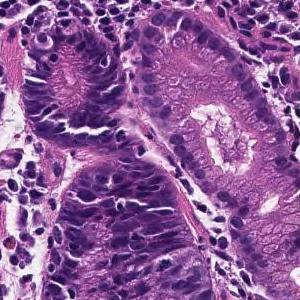
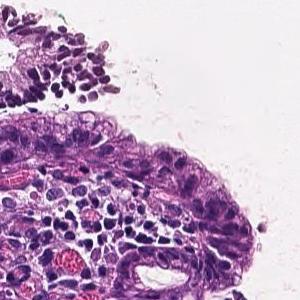
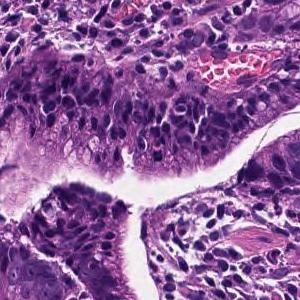
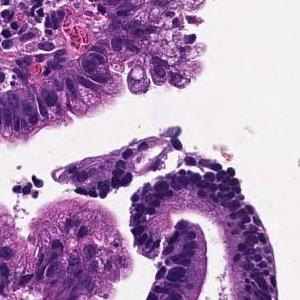
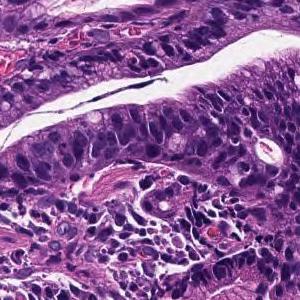
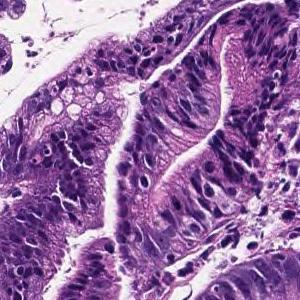
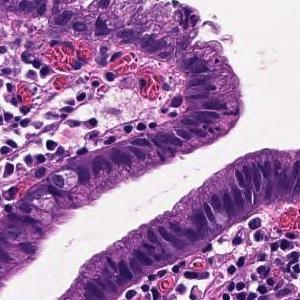
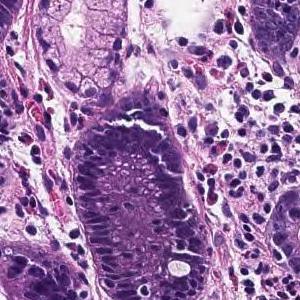
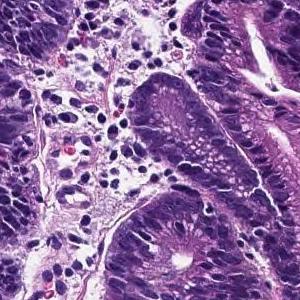
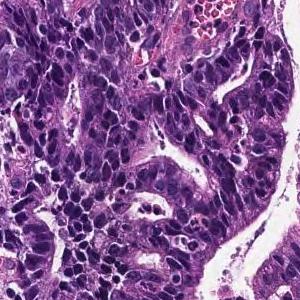
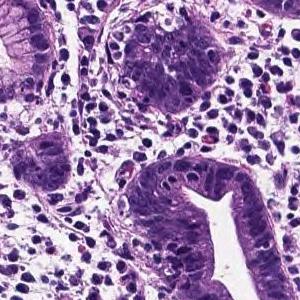
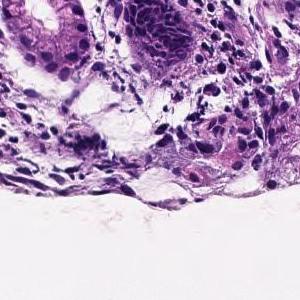
20× magnification · hematoxylin and eosin stain · 12 tiles from the same stomach biopsy slide.
Diagnostic report for the slide these tiles come from. The findings and the diagnosis refer to the entire slide; these tiles show only part of it, possibly with non-tumor tissue, and may not show every feature named.
From the superficial epithelium to the muscularis mucosae, tumor tissue consisting of medium-sized and irregular glandular ducts infiltrating is observed. Well differentiated tubular adenocarcinoma
